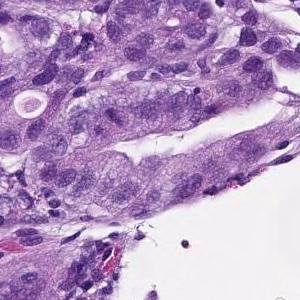
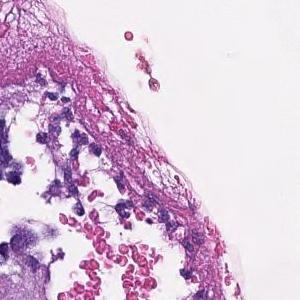
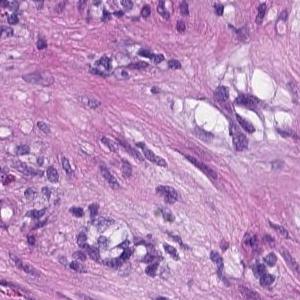
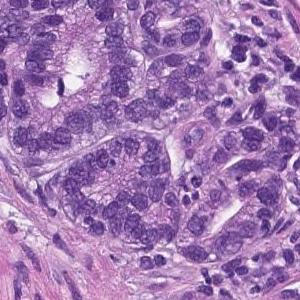
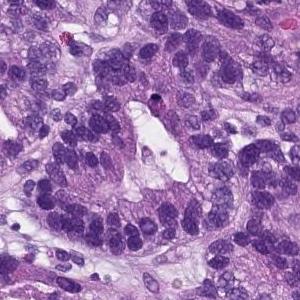
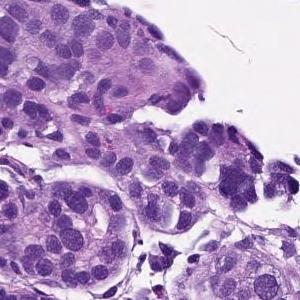
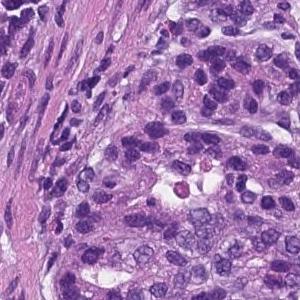
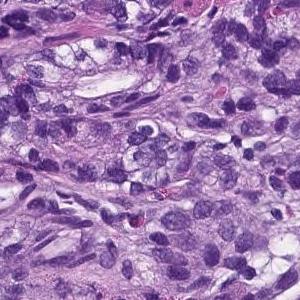
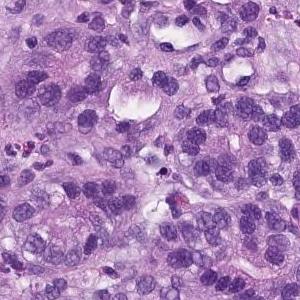
H&E, 20× magnification, 9 patches cut from one gastric biopsy slide.
The pathologist's report on the biopsy slide these tiles were taken from. The report describes the whole slide, diagnosis included: not every finding it names need appear in these tiles, which may also show non-tumor tissue.
From the superficial epithelium to the muscularis mucosae, tumor tissue consisting of medium-sized and irregular glandular ducts infiltrating is observed. Well differentiated tubular adenocarcinoma
